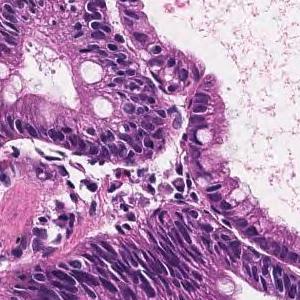
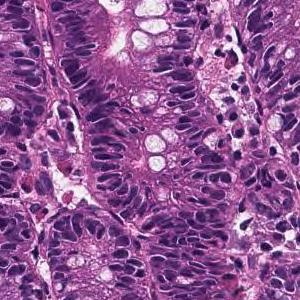
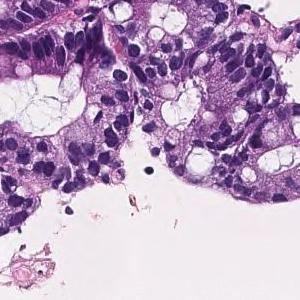
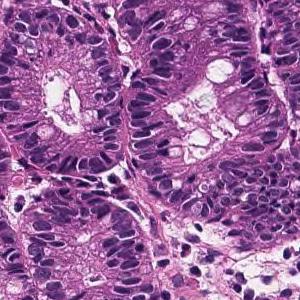
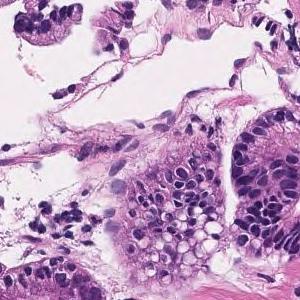
5 tiles cut from one stomach biopsy slide, each 300 × 300 pixels, H&E stain, ×20.
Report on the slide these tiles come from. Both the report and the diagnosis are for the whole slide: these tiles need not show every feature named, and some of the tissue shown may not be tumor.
Most remain in the superficial epithelium, forming medium-sized papillary or small irregular ducts and proliferating, and some tumor tissue invades the muscularis mucosae. Papillary adenocarcinoma
